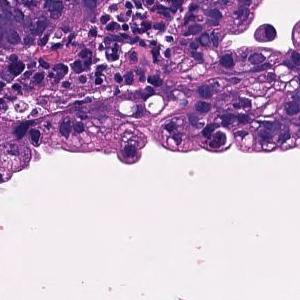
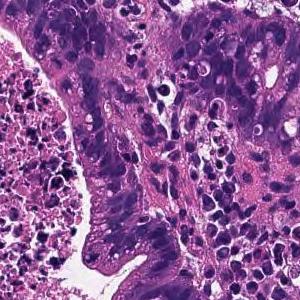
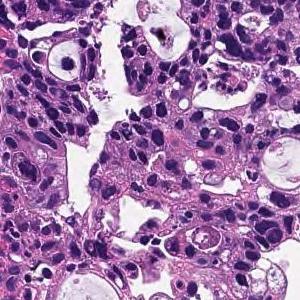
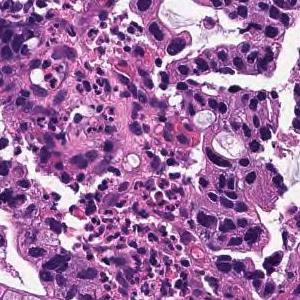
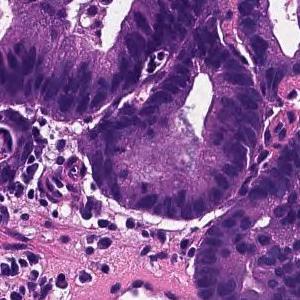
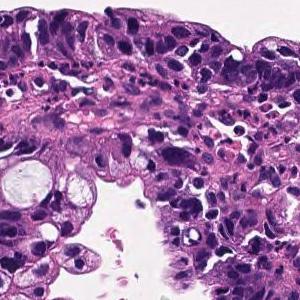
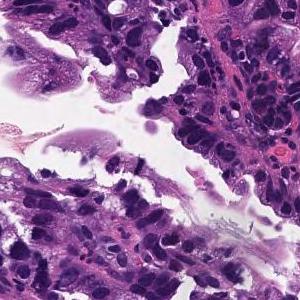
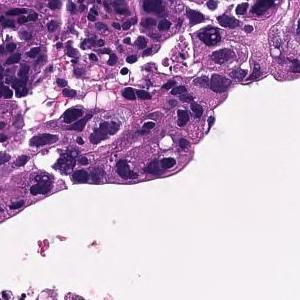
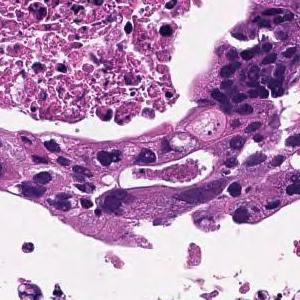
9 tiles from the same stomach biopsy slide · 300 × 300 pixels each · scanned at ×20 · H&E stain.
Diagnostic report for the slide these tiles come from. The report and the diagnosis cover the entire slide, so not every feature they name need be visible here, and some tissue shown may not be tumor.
In the superficial epithelium, tumor tissue that invades by forming medium-sized to small, irregular ducts is observed. moderately differentiated tubular adenocarcinoma.
